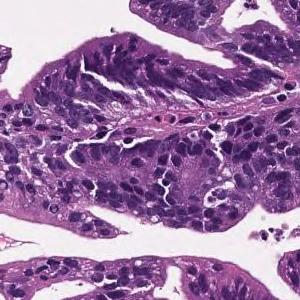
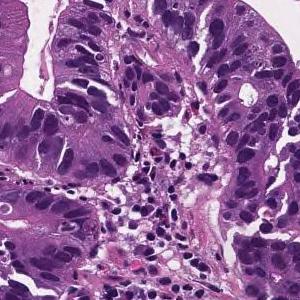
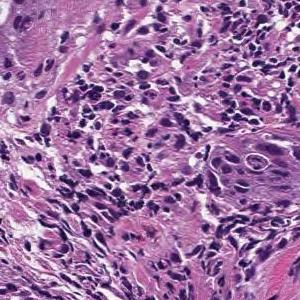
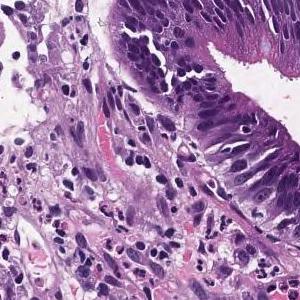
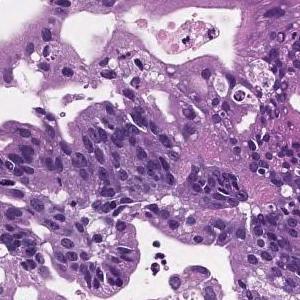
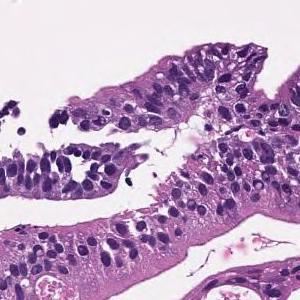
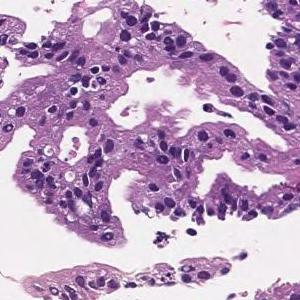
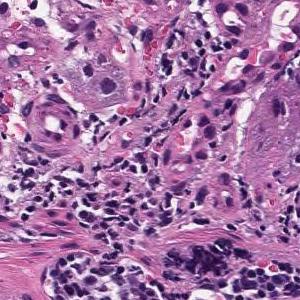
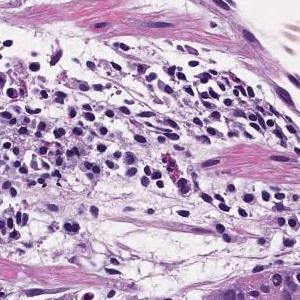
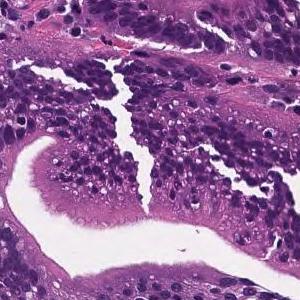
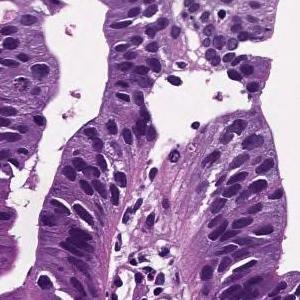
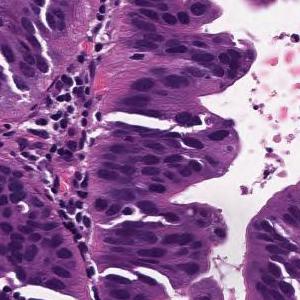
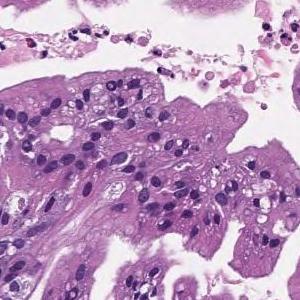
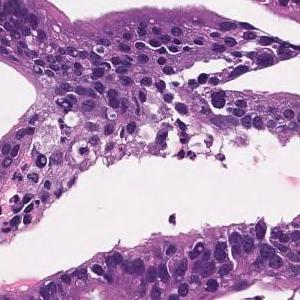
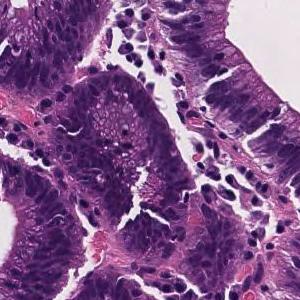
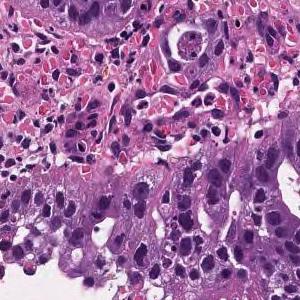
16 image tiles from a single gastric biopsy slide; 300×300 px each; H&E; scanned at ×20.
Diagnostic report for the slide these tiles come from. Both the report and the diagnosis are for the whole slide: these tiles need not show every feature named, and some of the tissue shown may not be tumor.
Tumor cells are large, highly columnar, large club-shaped nuclei, and are associated with chromatin aggregation. Papillary adenocarcinoma.
